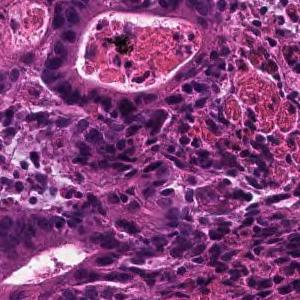
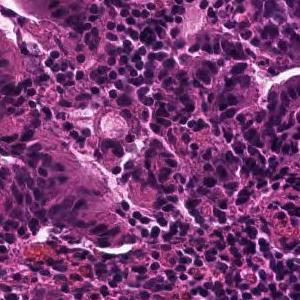
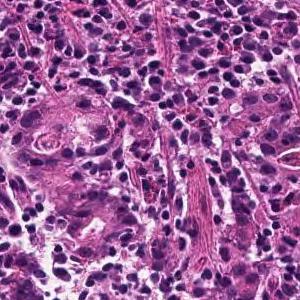
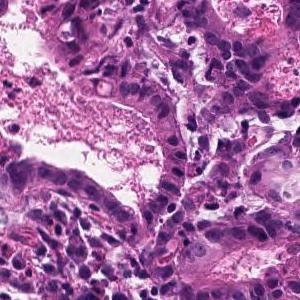
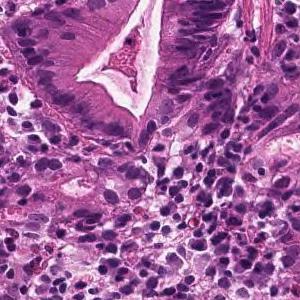
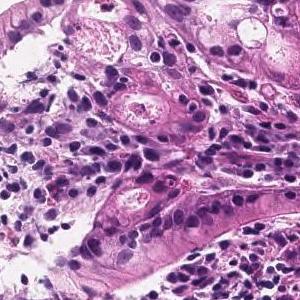
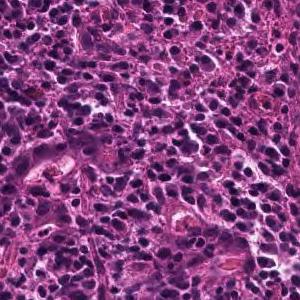
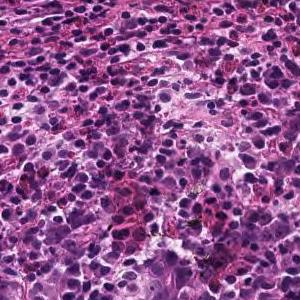
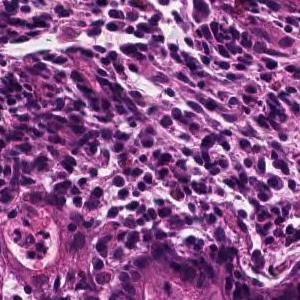
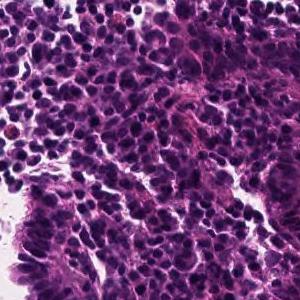
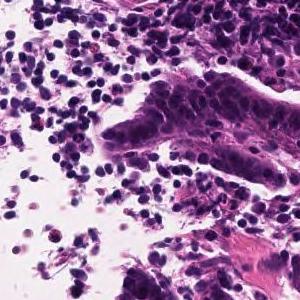
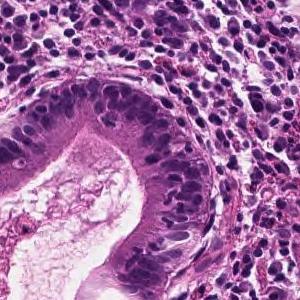
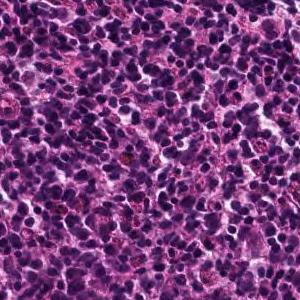
20× magnification, hematoxylin and eosin stain, 13 image tiles from a single gastric biopsy slide, each 300 × 300 pixels.
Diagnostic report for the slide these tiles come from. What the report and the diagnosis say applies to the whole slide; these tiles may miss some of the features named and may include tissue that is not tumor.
Tumor tissue consisting of medium-sized, cord-like or irregular glandular infiltration is observed in the superficial epithelium. Poorly differentiated adenocarcinoma, non-solid type or moderately differentiated tubular adenocarcinoma
Labeled in the dataset as poorly differentiated adenocarcinoma, non-solid type.
The non-solid type named here is a Japanese Classification of Gastric Carcinoma category.
